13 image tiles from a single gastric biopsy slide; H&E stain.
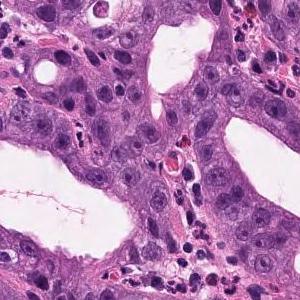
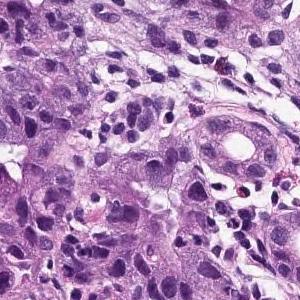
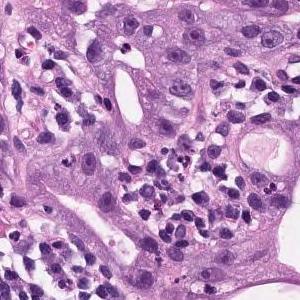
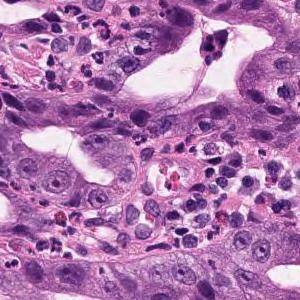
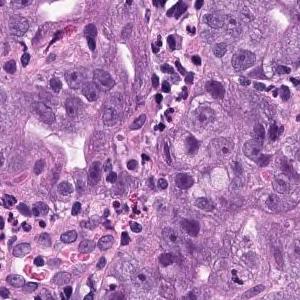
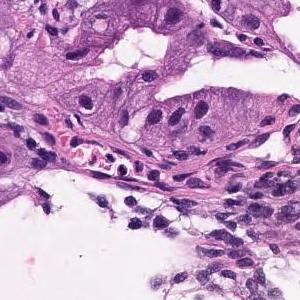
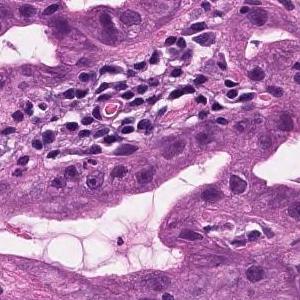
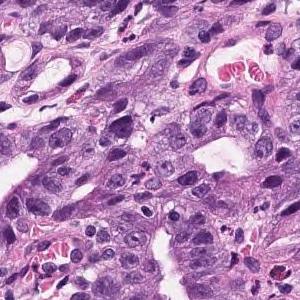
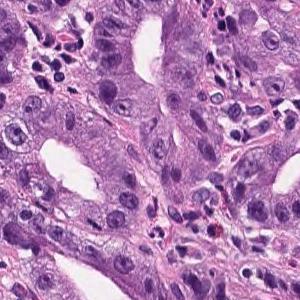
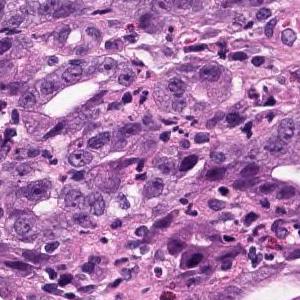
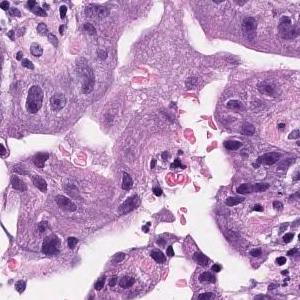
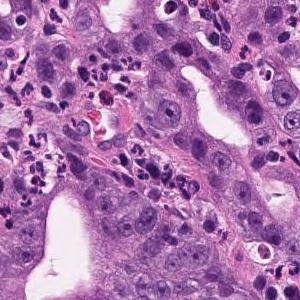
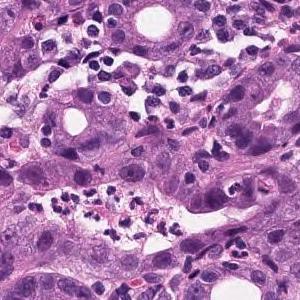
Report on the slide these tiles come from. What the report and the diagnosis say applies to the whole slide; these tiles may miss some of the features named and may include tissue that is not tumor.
In the superficial epithelium, tumor tissue that invades by forming medium-sized to small, irregular ducts is observed. Well to moderately differentiated adenocarcinoma (well differentiated tubular adenocarcinoma, moderately differentiated tubular adenocarcinoma).
Histological subtype: Well to moderately differentiated tubular adenocarcinoma.
